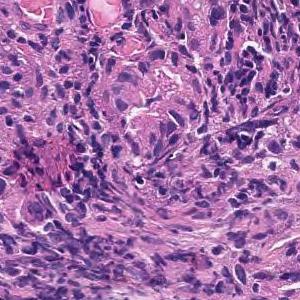
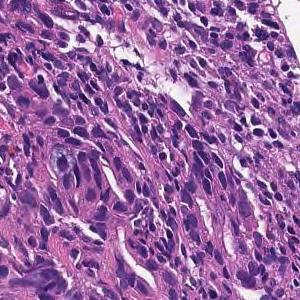
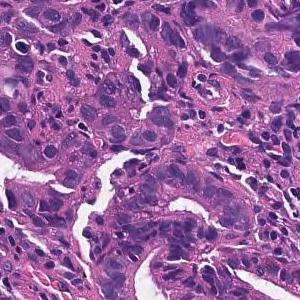
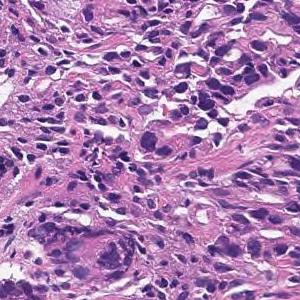
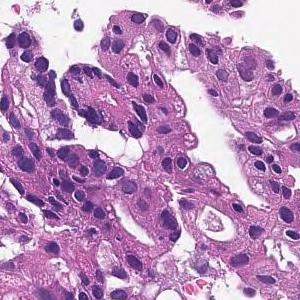
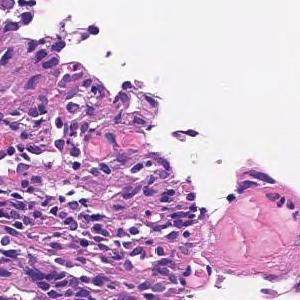
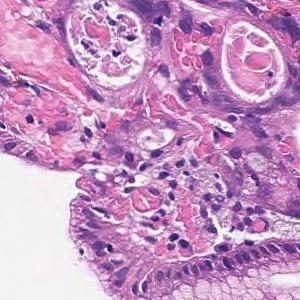
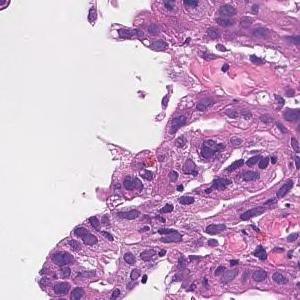
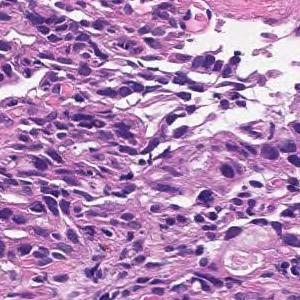
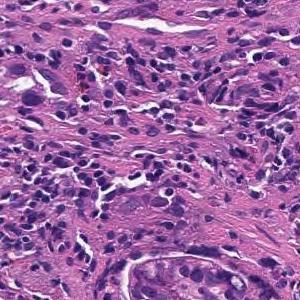
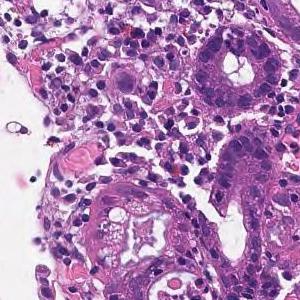
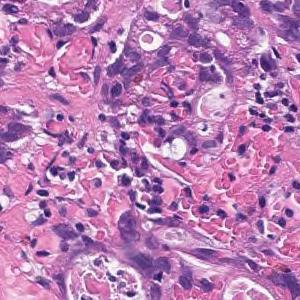
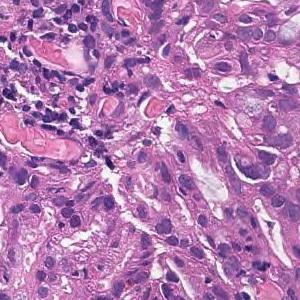
×20 · H&E · 13 patches cut from one gastric biopsy slide · 300 × 300 pixels each.
The pathologist's report on the biopsy slide these tiles were taken from. The report and the diagnosis cover the entire slide, so not every feature they name need be visible here, and some tissue shown may not be tumor.
In the superficial epithelium, tumor tissue that invades by forming medium-sized to small, irregular ducts is observed. moderately differentiated tubular adenocarcinoma.
